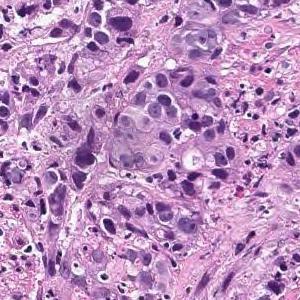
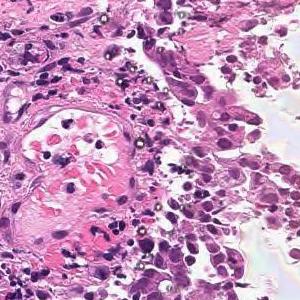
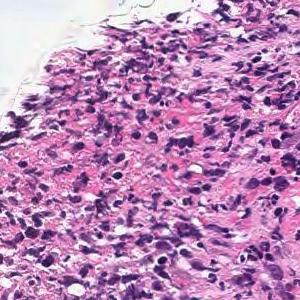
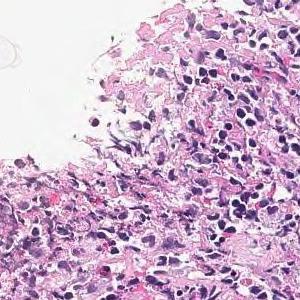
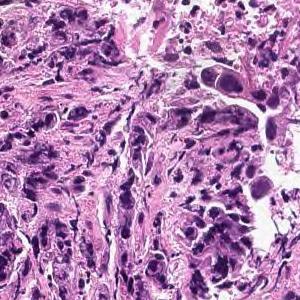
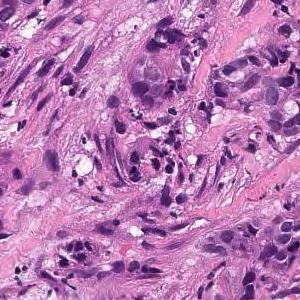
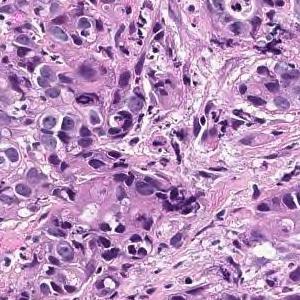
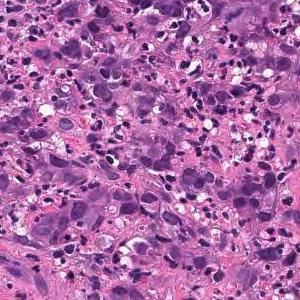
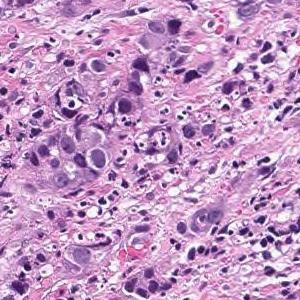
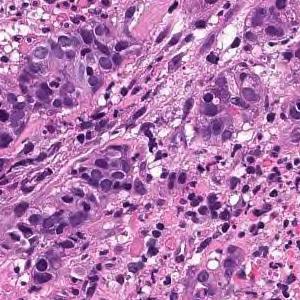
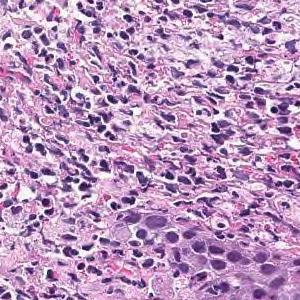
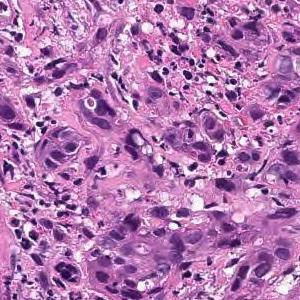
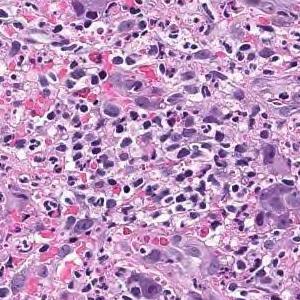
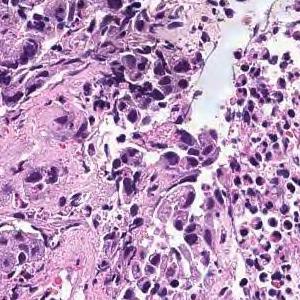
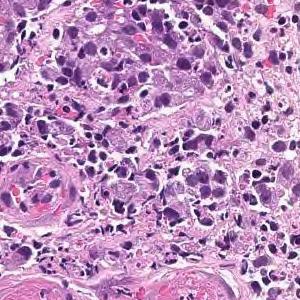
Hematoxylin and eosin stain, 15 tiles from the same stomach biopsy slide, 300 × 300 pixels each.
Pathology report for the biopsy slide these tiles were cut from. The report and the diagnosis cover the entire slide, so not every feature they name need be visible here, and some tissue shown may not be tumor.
Tumor tissue consisting of cord-like or small, irregular glandular ducts fused and infiltrated is observed in the superficial epithelium. Poorly differentiated adenocarcinoma, non-solid type
"Non-solid type" is a category of the Japanese Classification of Gastric Carcinoma.
